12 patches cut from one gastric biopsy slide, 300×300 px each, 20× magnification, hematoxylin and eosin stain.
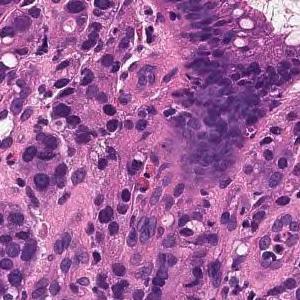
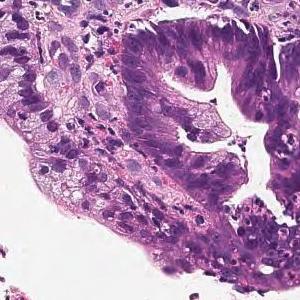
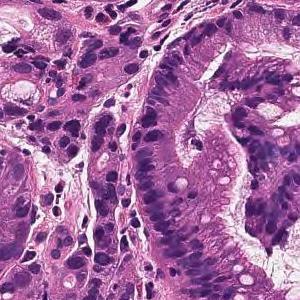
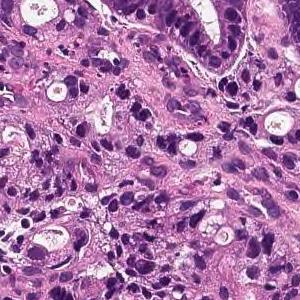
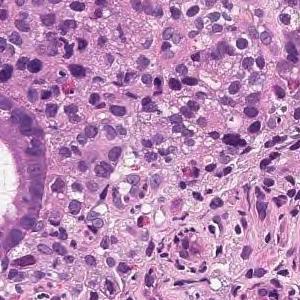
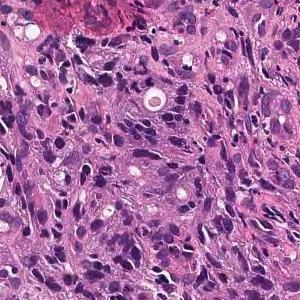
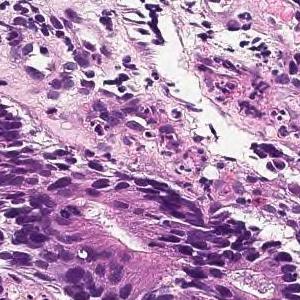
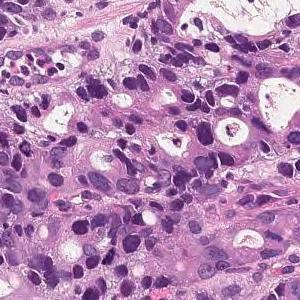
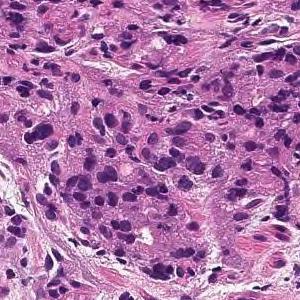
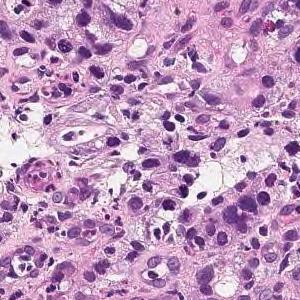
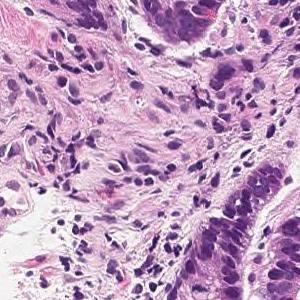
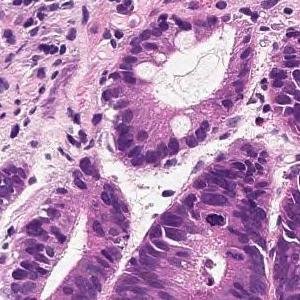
Diagnostic report for the slide these tiles come from. What the report and the diagnosis say applies to the whole slide; these tiles may miss some of the features named and may include tissue that is not tumor.
In the superficial epithelium, medium to small irregular gland ducts are formed, and in some cases, the ducts are fused to show solid alveolar lesions and infiltrating tumor tissue is observed. moderately differentiated tubular adenocarcinoma or poorly differentiated adenocarcinoma, solid-type (poorly differentiated adenocarcinoma, solid type)
The dataset labels this slide poorly differentiated adenocarcinoma, solid type (Japanese Classification of Gastric Carcinoma). The WHO 2019 equivalent is tubular adenocarcinoma, poorly differentiated.
